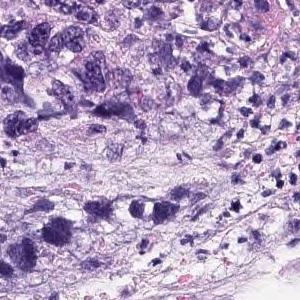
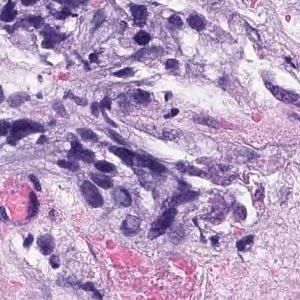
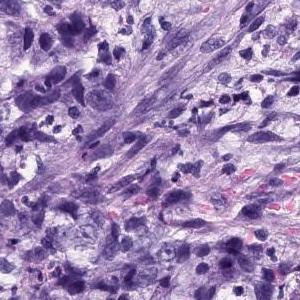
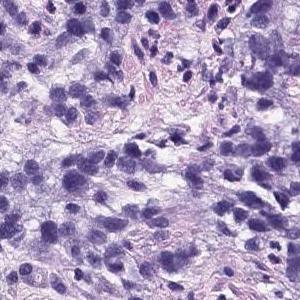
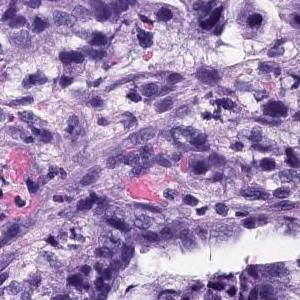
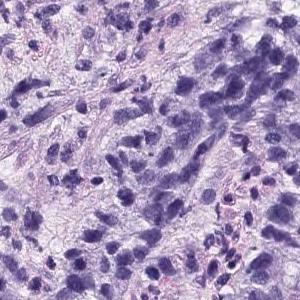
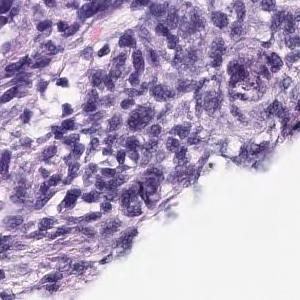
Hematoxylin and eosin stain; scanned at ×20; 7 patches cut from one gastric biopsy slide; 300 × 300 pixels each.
Pathology report for the slide these tiles were cut from. The report and the diagnosis cover the entire slide, so not every feature they name need be visible here, and some tissue shown may not be tumor.
Atypical l cells with atypical nuclei forming solid or diffuse vesicle nests and proliferating in a complex manner. Poorly differentiated adenocarcinoma, moderately differentiated tubular adenocarcinoma
Tumor subtype: moderately to poorly differentiated adenocarcinoma.
